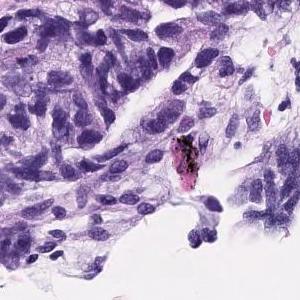
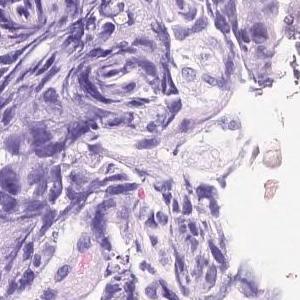
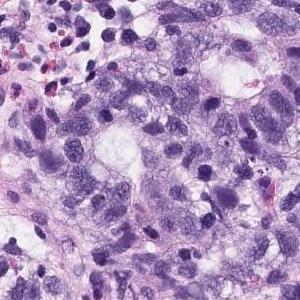
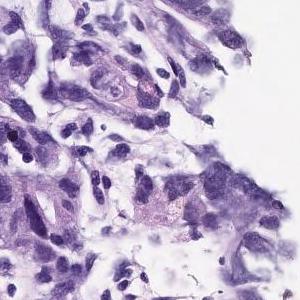
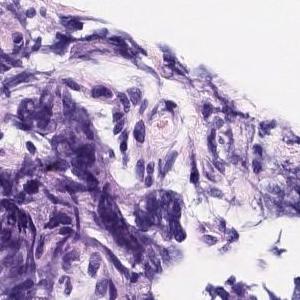
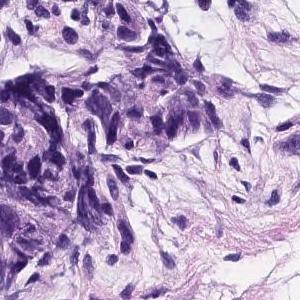
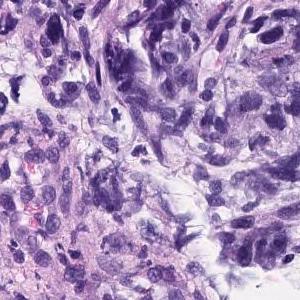
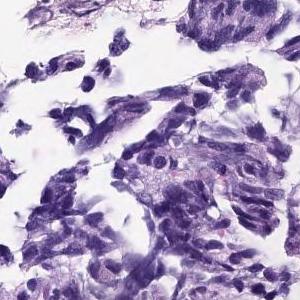
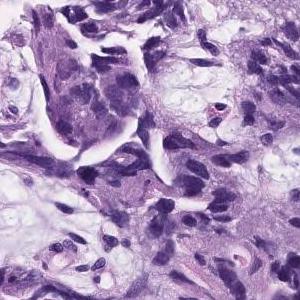
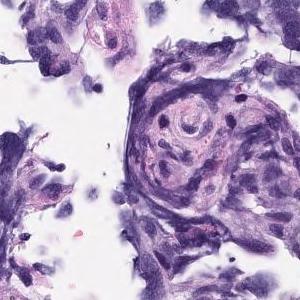
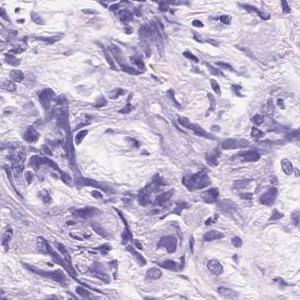
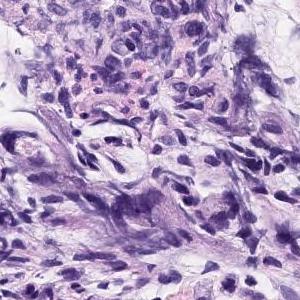
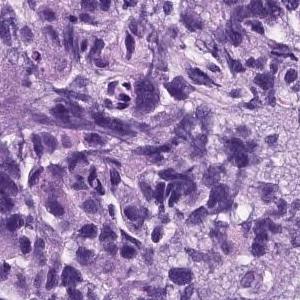
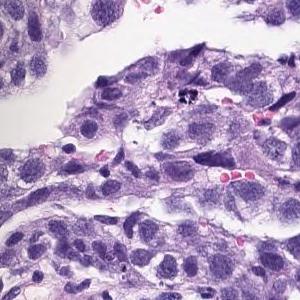
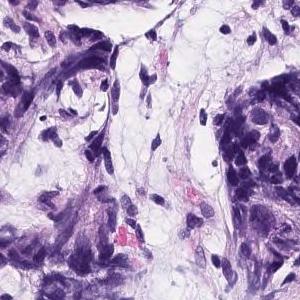
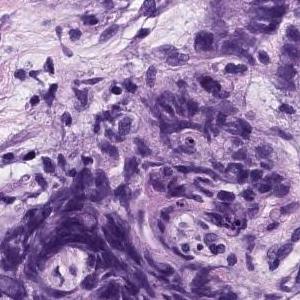
16 tiles from the same stomach biopsy slide; hematoxylin and eosin stain; 20× magnification.
Report on the slide these tiles come from. The report describes the whole slide, diagnosis included: not every finding it names need appear in these tiles, which may also show non-tumor tissue.
Atypical epithelial cells with an increased N/C ratio proliferate and consist of a part that shows the formation of gland ducts and a part that shows solid growth. Poorly differentiated adenocarcinoma, solid-type
Subtype: Poorly differentiated adenocarcinoma, solid type, a category of the Japanese Classification of Gastric Carcinoma; in the WHO 2019 classification it is tubular adenocarcinoma, poorly differentiated.
